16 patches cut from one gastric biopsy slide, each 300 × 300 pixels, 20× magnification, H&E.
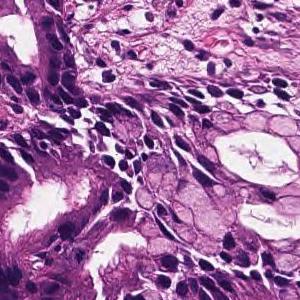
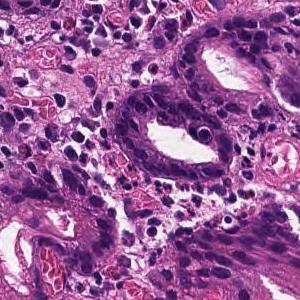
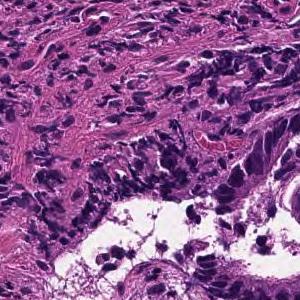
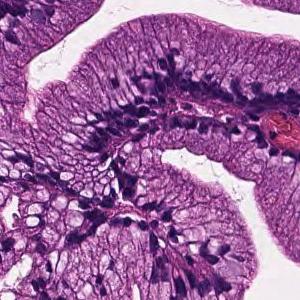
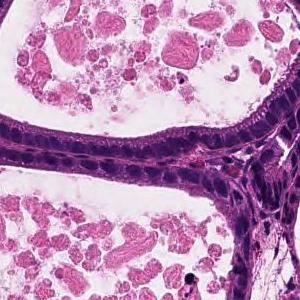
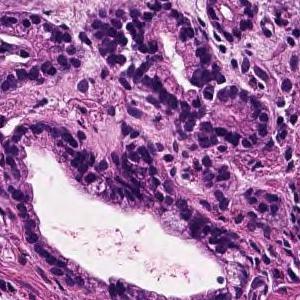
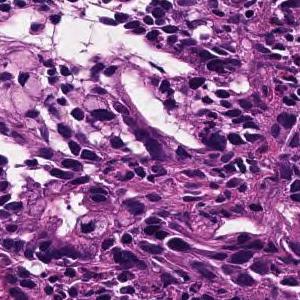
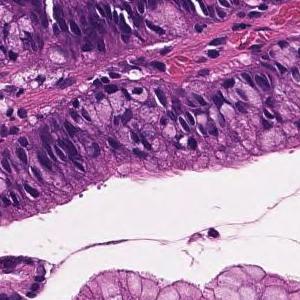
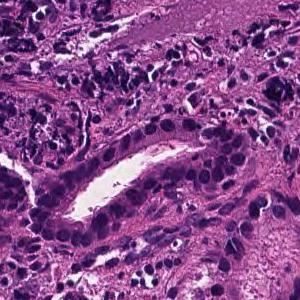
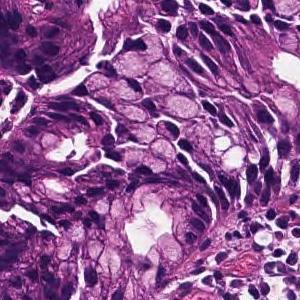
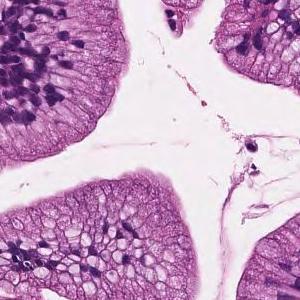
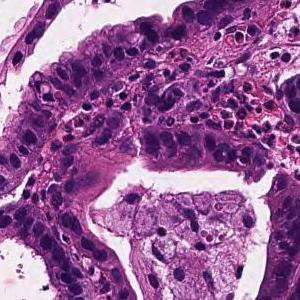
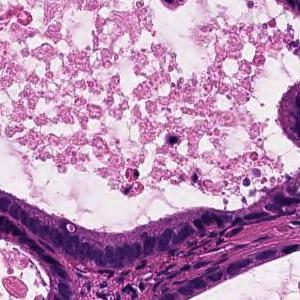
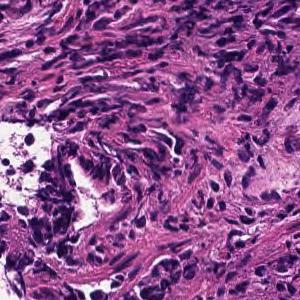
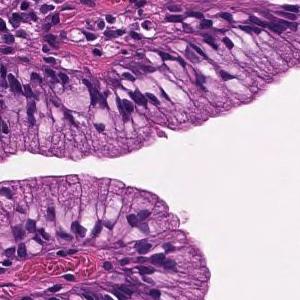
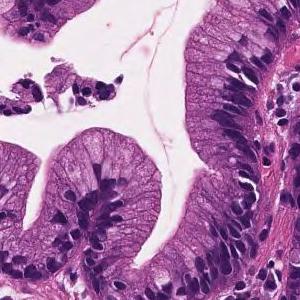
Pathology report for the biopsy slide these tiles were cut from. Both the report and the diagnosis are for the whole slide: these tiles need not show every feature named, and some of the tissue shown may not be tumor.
On the superficial epithelium, tumor tissue consisting of medium-sized and irregular glandular ducts partially fused and infiltrated is observed. Well to moderately differentiated tubular adenocarcinoma (well differentiated tubular adenocarcinoma-moderately differentiated tubular adenocarcinoma)
Subtype: Well to moderately differentiated tubular adenocarcinoma.
